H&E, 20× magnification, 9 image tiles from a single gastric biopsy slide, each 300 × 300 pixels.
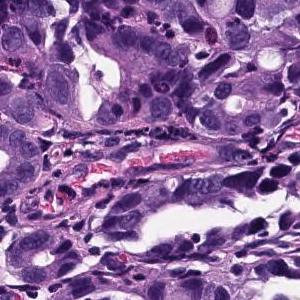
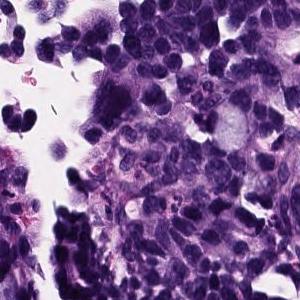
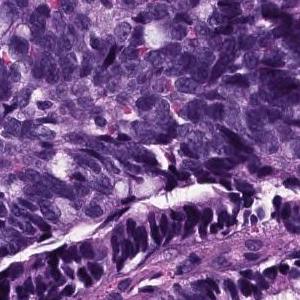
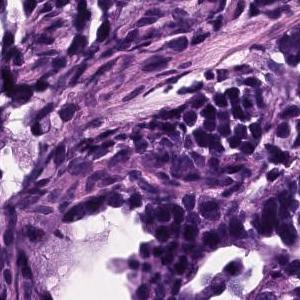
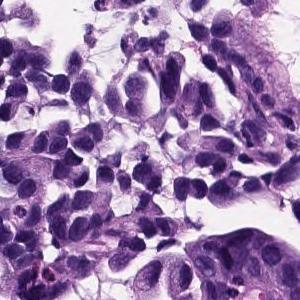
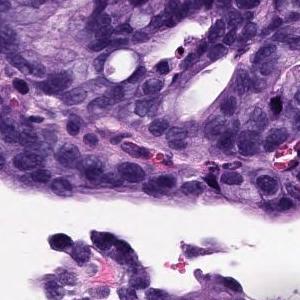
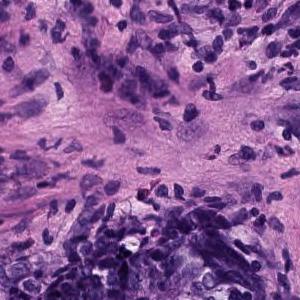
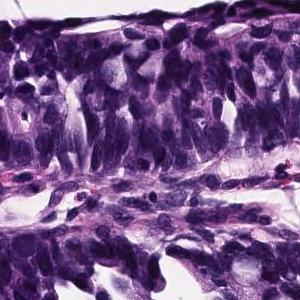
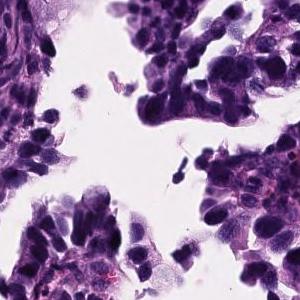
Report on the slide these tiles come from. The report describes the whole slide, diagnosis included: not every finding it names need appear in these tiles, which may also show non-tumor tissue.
Atypical epithelium proliferating showing villus construction and irregular gland duct construction is observed. Moderately differentiated tubular adenocarcinoma.
